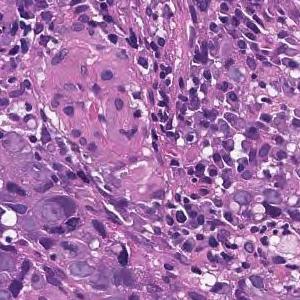
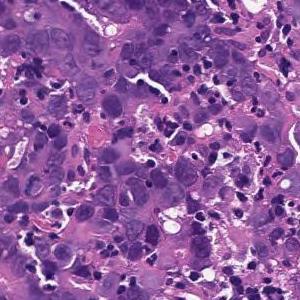
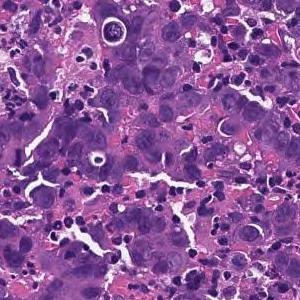
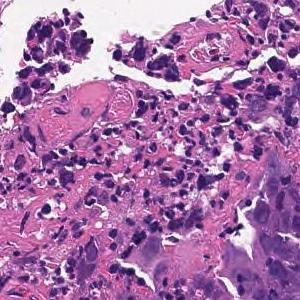
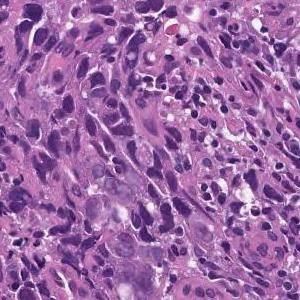
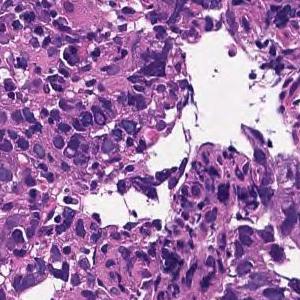
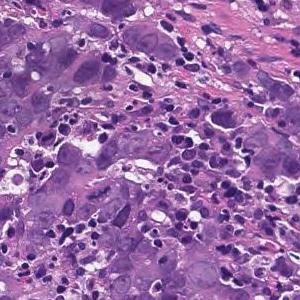
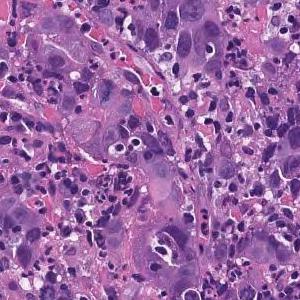
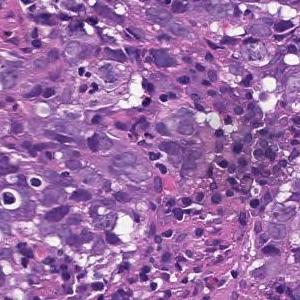
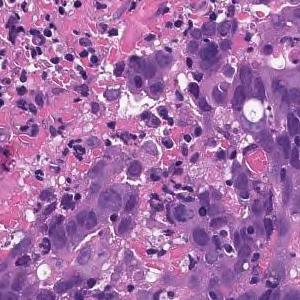
H&E stain, ×20, 10 image tiles from a single gastric biopsy slide, 300×300 px each.
The pathologist's report on the biopsy slide these tiles were taken from. The findings and the diagnosis refer to the entire slide; these tiles show only part of it, possibly with non-tumor tissue, and may not show every feature named.
Tumor tissue consisting of cord-like or small, irregular glandular ducts fused and infiltrated is observed in the superficial epithelium. Poorly differentiated adenocarcinoma, non-solid type
The term "non-solid type" comes from the Japanese Classification of Gastric Carcinoma.
